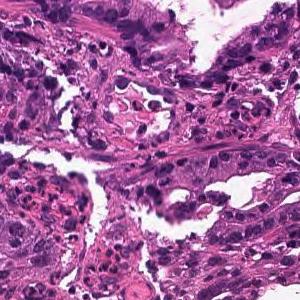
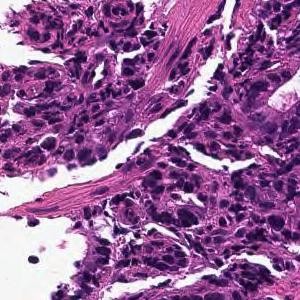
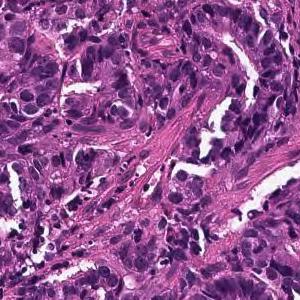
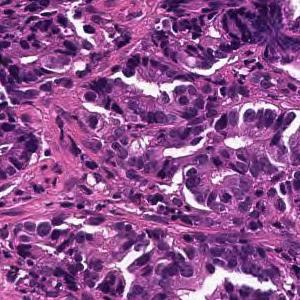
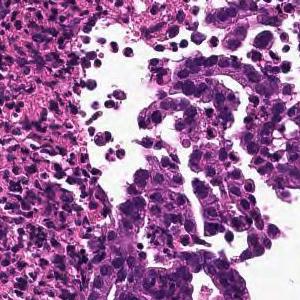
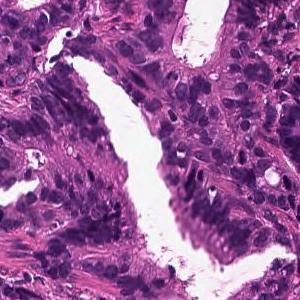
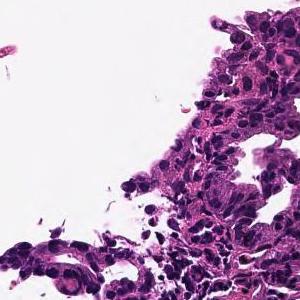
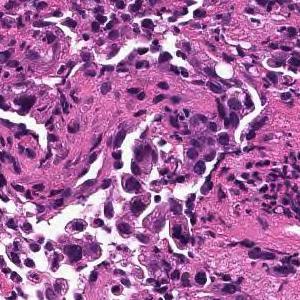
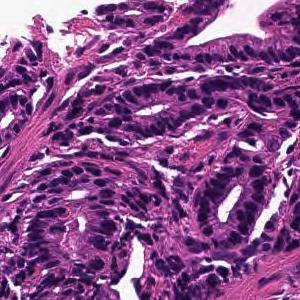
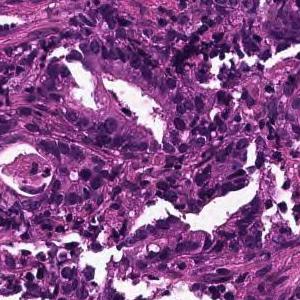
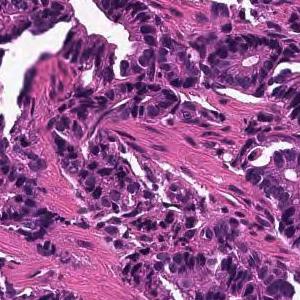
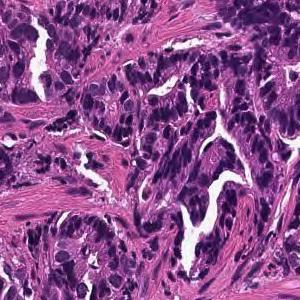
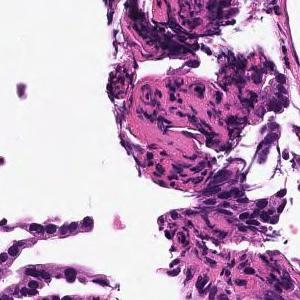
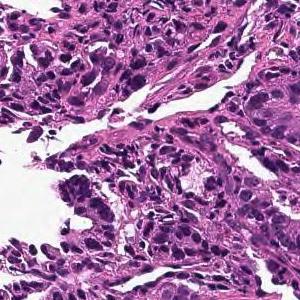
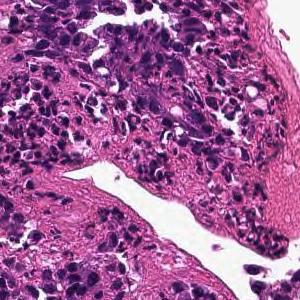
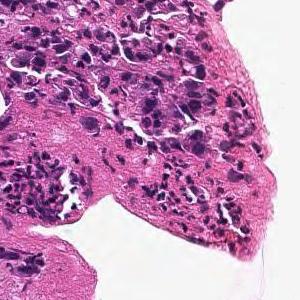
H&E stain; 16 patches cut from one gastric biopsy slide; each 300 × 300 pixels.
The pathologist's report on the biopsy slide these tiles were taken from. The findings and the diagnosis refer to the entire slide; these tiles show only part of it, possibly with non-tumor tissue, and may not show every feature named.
In the superficial epithelium, tumor tissue that invades by forming medium-sized to small, irregular ducts is observed. moderately differentiated tubular adenocarcinoma.
